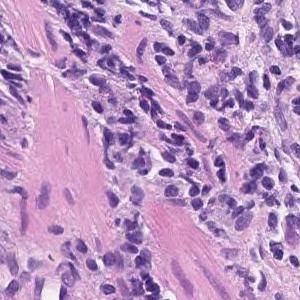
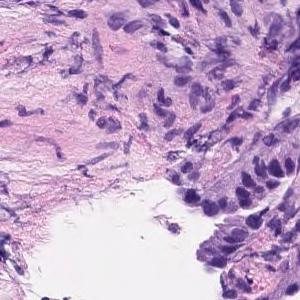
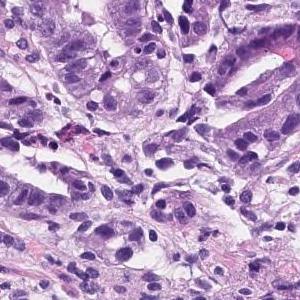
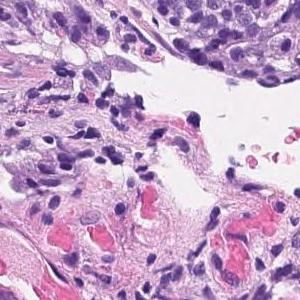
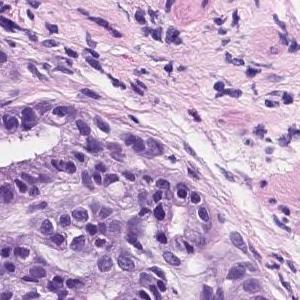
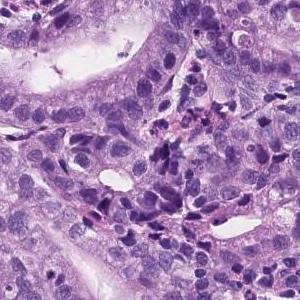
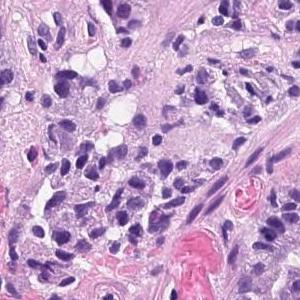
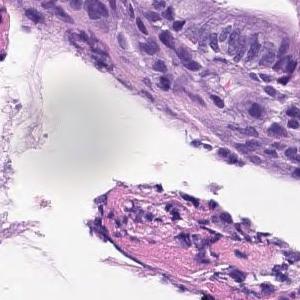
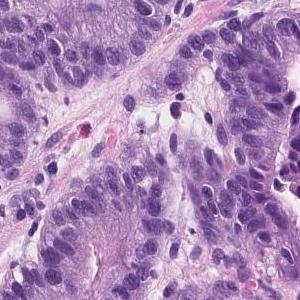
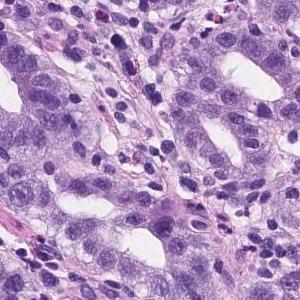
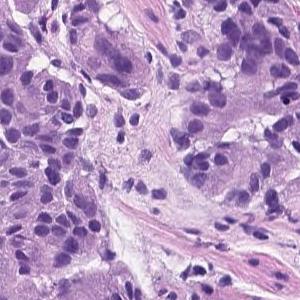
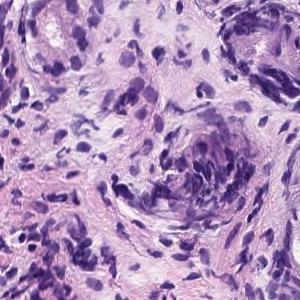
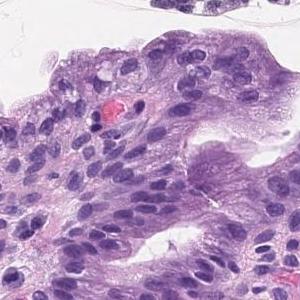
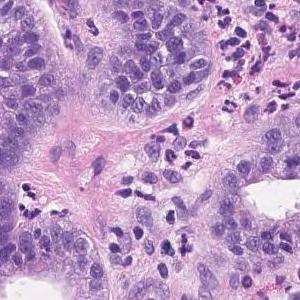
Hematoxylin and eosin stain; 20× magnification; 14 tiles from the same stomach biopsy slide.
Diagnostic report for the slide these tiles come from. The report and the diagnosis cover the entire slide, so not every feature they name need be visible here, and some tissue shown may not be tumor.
Tumor tissue consisting of medium-sized and irregular ducts is observed infiltrating in the superficial epithelium. Tumor cells are highly columnar, with nuclei aligned basolaterally and polarized. Well differentiated tubular adenocarcinoma.
